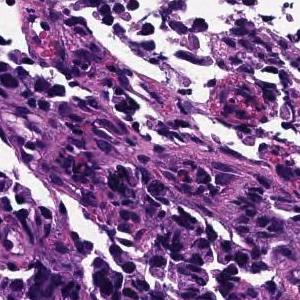
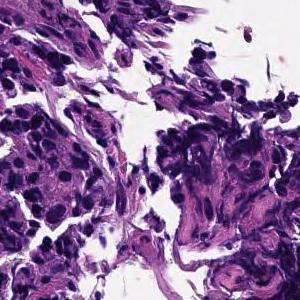
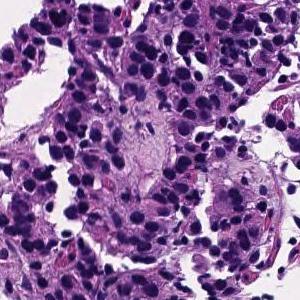
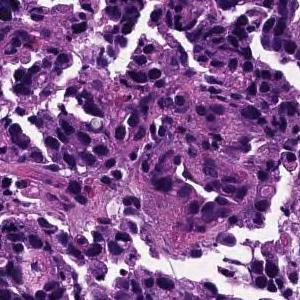
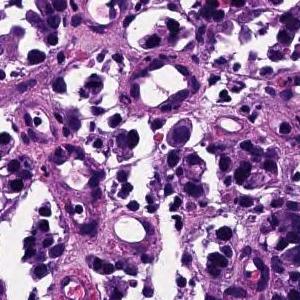
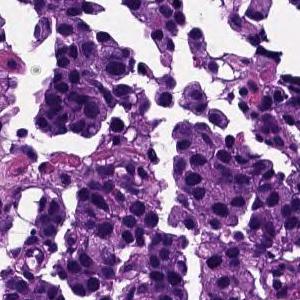
6 image tiles from a single gastric biopsy slide.
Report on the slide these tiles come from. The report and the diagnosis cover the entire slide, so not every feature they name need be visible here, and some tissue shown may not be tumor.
The superficial epithelium shows a large alveolar shape and infiltrates tumor tissue. Poorly differentiated adenocarcinoma, solid-type
Histological subtype: Poorly differentiated adenocarcinoma, solid type. This name comes from the Japanese Classification of Gastric Carcinoma; the WHO 2019 classification calls it tubular adenocarcinoma, poorly differentiated.
